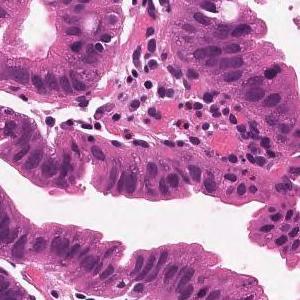
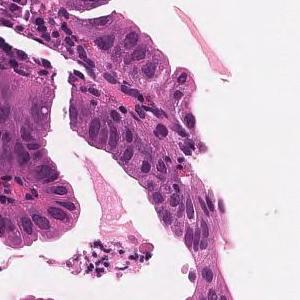
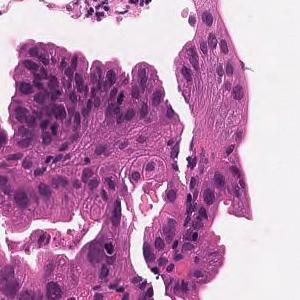
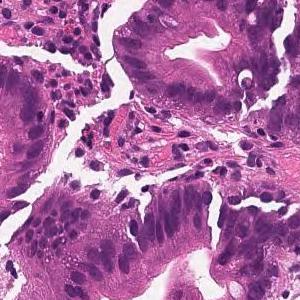
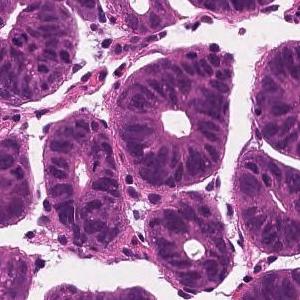
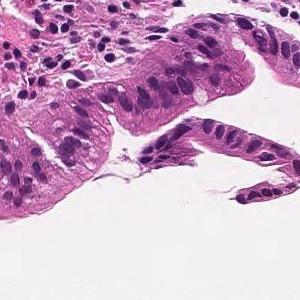
H&E, 6 image tiles from a single gastric biopsy slide, each 300 × 300 pixels.
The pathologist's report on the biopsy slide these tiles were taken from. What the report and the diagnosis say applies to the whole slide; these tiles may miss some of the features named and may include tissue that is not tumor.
From the superficial epithelium to the muscularis mucosae, tumor tissue consisting of medium-sized and irregular glandular ducts infiltrating is observed. Well differentiated tubular adenocarcinoma
